H&E stain, 7 image tiles from a single gastric biopsy slide.
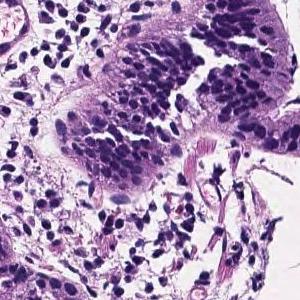
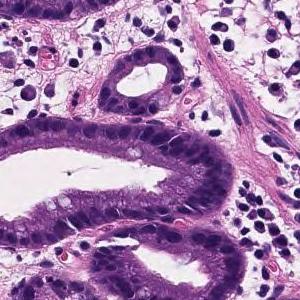
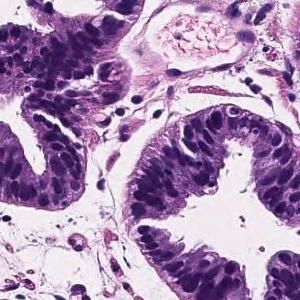
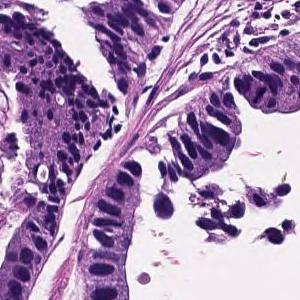
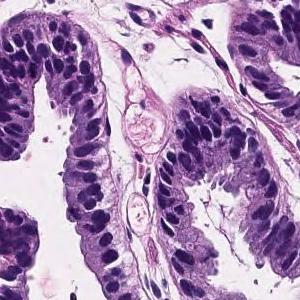
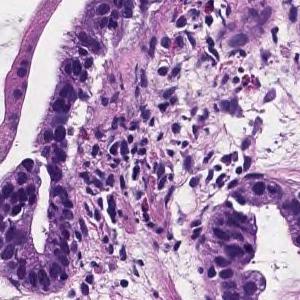
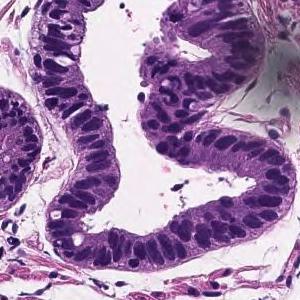
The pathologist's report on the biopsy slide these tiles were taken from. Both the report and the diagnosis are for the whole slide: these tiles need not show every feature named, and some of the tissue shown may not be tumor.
Tumor cells are large, highly columnar, large club-shaped nuclei, and are associated with chromatin aggregation. Papillary adenocarcinoma.
